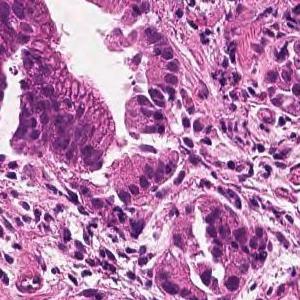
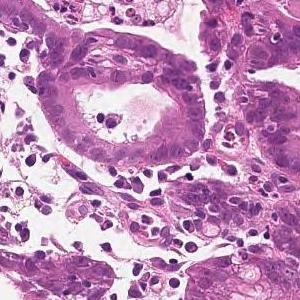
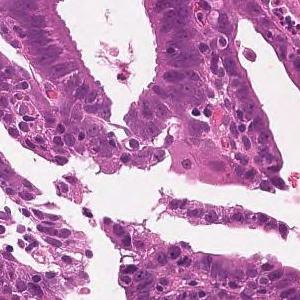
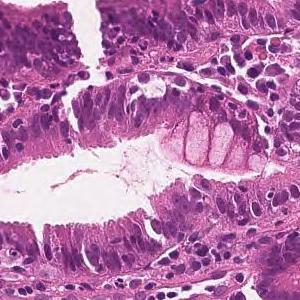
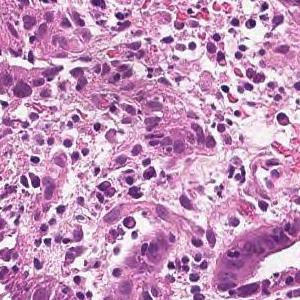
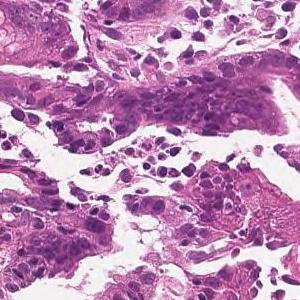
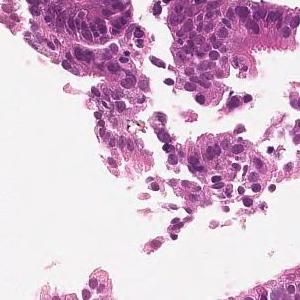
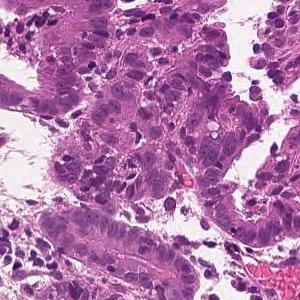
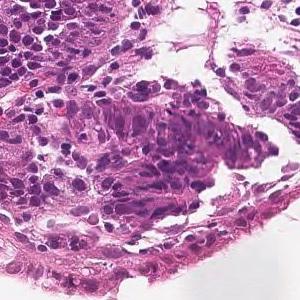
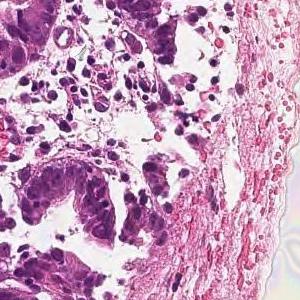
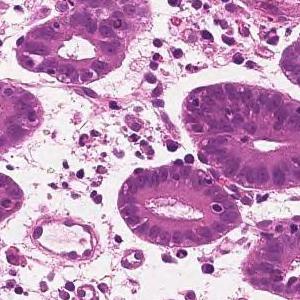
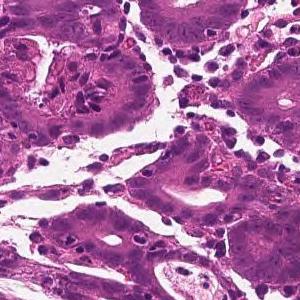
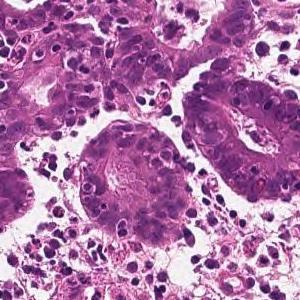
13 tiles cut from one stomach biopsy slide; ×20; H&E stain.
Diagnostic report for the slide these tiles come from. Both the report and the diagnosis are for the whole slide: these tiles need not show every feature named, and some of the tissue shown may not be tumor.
On the superficial epithelium, tumor tissue is found in which medium-sized irregular gland ducts fuse with each other and infiltrate. moderately differentiated tubular adenocarcinoma
